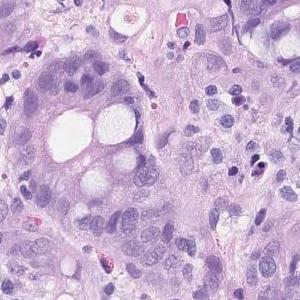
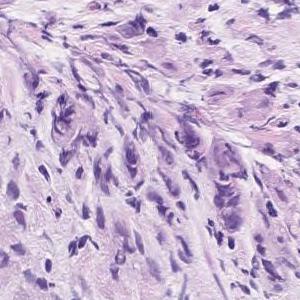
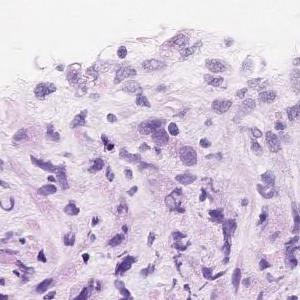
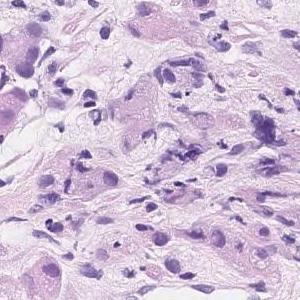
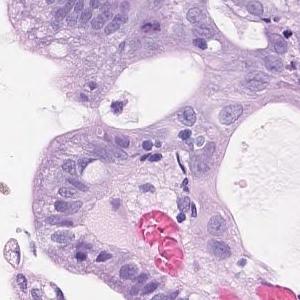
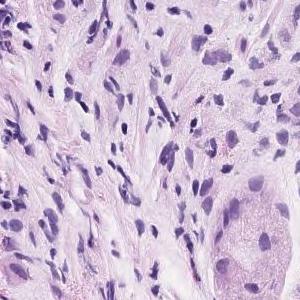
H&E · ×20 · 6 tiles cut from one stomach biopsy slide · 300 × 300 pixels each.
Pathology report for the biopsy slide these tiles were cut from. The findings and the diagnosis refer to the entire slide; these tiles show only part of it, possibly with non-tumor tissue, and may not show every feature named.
Group 5, Adenocarcinoma. Poorly differentiated adenocarcinoma, non-solid type
"Non-solid type" is a category of the Japanese Classification of Gastric Carcinoma.
